Scanned at ×20 · H&E · 13 tiles from the same stomach biopsy slide.
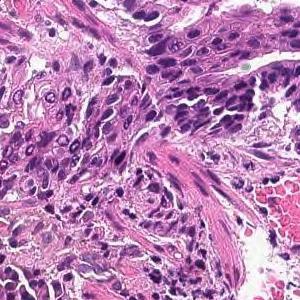
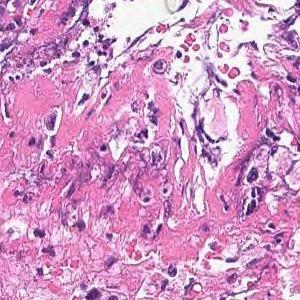
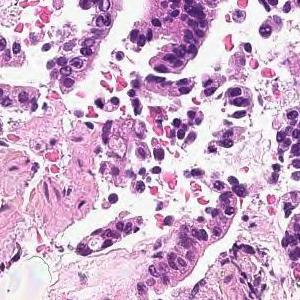
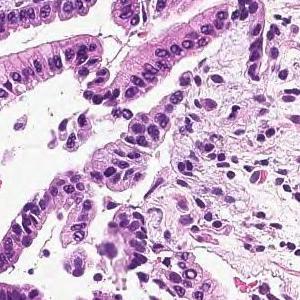
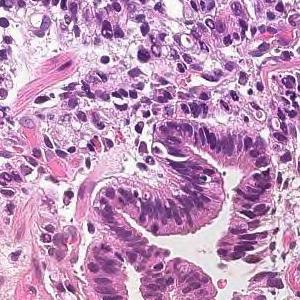
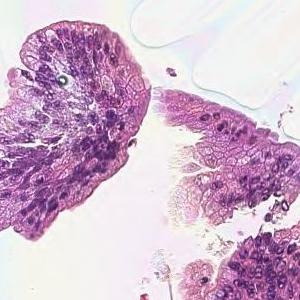
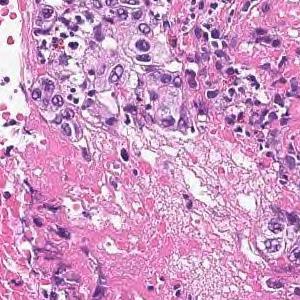
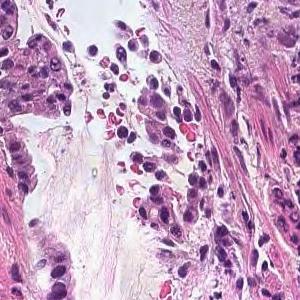
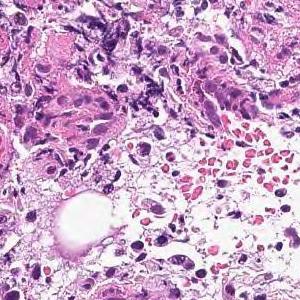
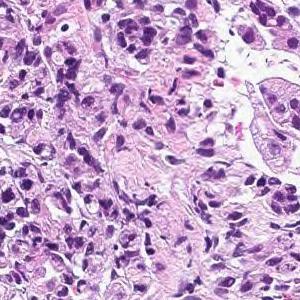
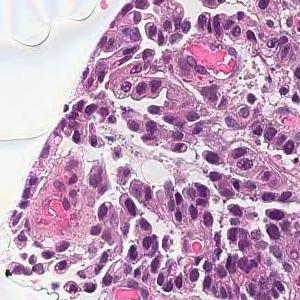
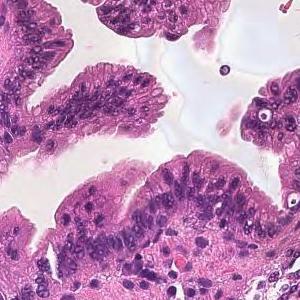
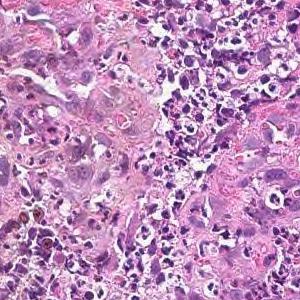
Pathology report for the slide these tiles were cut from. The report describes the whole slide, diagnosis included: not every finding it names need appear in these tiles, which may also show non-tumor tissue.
Tumor tissue consisting of medium-sized, cord-like or irregular glandular infiltration is observed in the superficial epithelium. Poorly differentiated adenocarcinoma, non-solid type or moderately differentiated tubular adenocarcinoma
Classified as moderately to poorly differentiated adenocarcinoma.
The term "non-solid type" comes from the Japanese Classification of Gastric Carcinoma.
